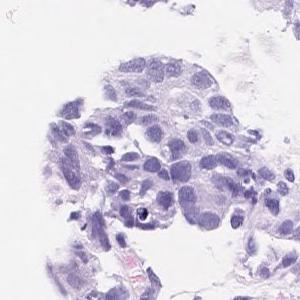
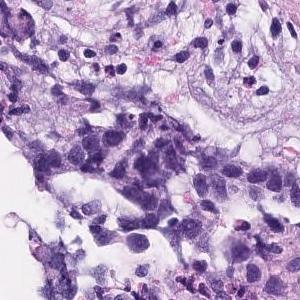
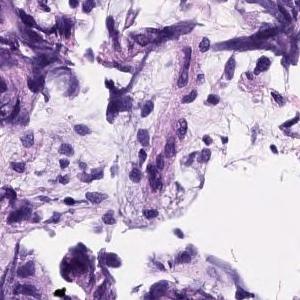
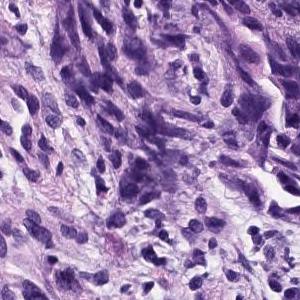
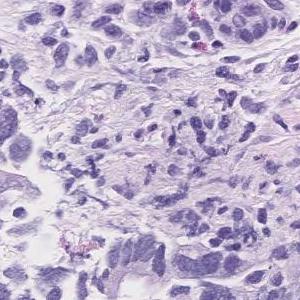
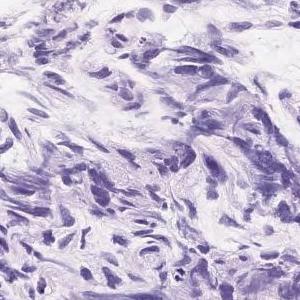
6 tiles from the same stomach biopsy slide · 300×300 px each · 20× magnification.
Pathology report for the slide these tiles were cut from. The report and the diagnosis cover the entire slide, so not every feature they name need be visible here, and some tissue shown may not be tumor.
Atypical epithelial cells with an increased N/C ratio proliferate and consist of a part that shows the formation of gland ducts and a part that shows solid growth. Poorly differentiated adenocarcinoma, solid-type
Histologic type: Poorly differentiated adenocarcinoma, solid type (Japanese Classification of Gastric Carcinoma). The WHO 2019 equivalent is tubular adenocarcinoma, poorly differentiated.
